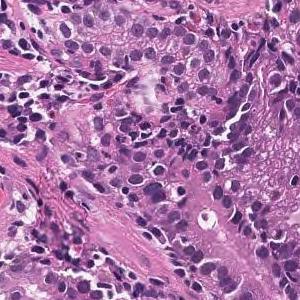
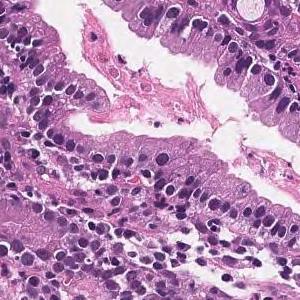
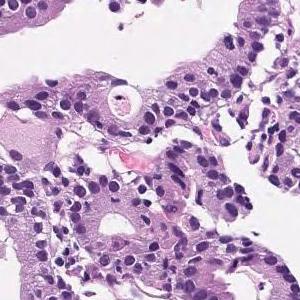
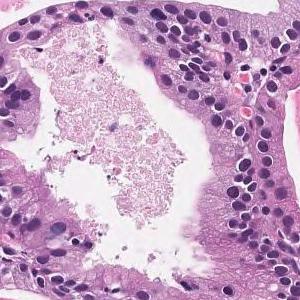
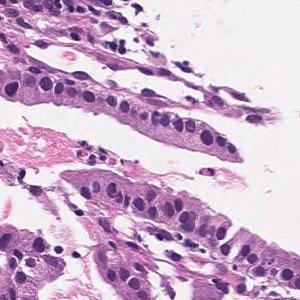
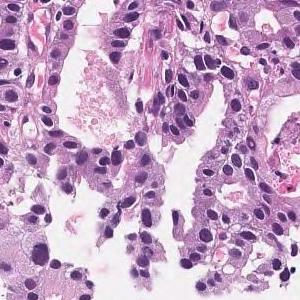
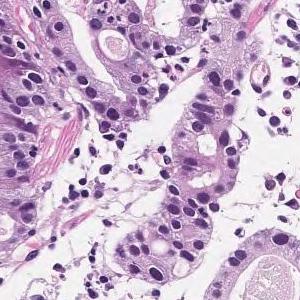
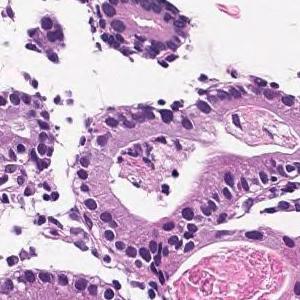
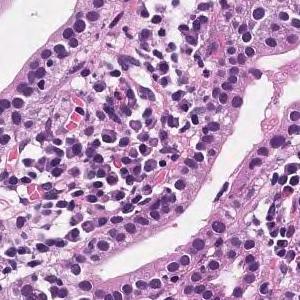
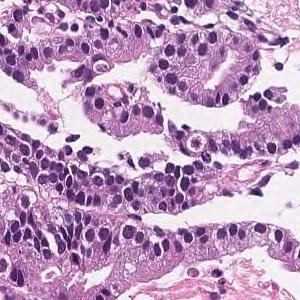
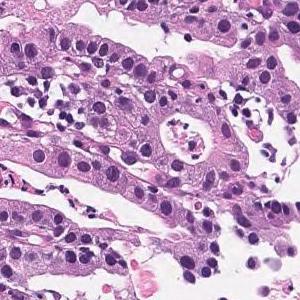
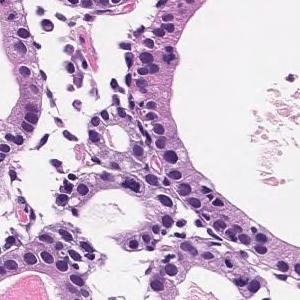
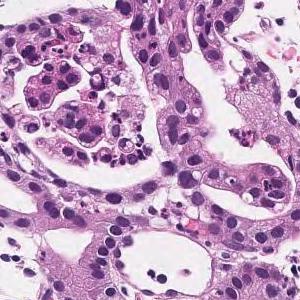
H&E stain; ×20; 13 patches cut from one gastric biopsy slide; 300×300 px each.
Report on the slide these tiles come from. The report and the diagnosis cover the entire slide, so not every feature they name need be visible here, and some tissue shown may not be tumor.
Medium to small, irregular glandular ducts are formed in the superficial epithelium, and in some cases, the glandular ducts are fused to show solid alveolar lesions and infiltrating tumor tissue is observed. Moderately to poorly differentiated adenocarcinoma.
